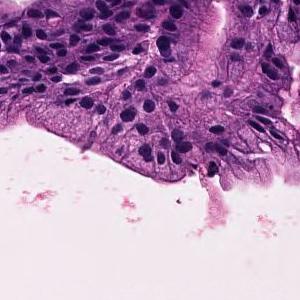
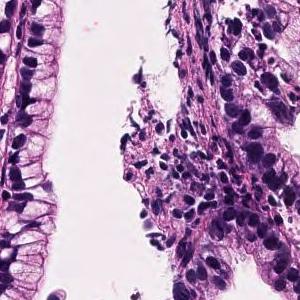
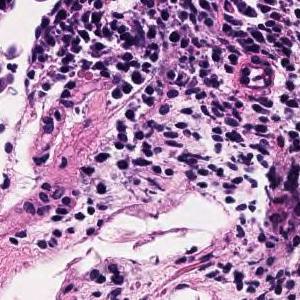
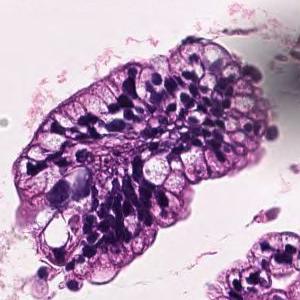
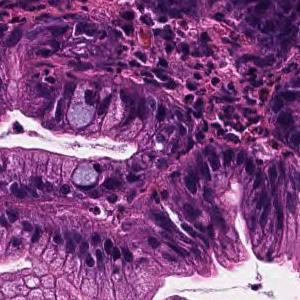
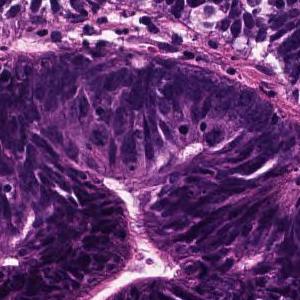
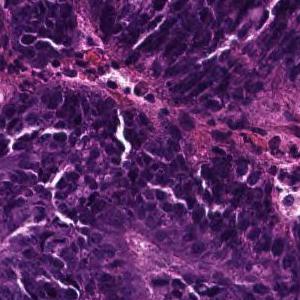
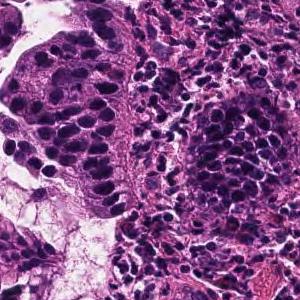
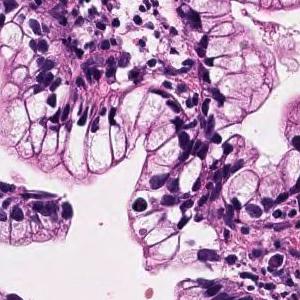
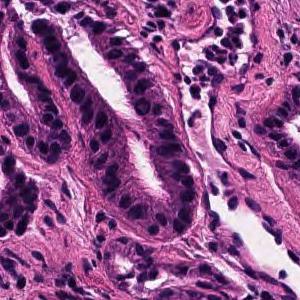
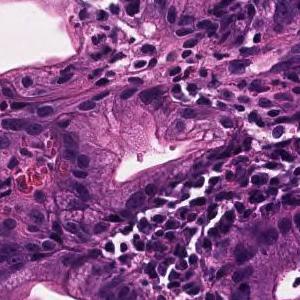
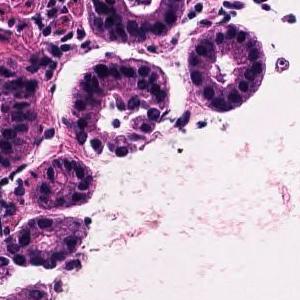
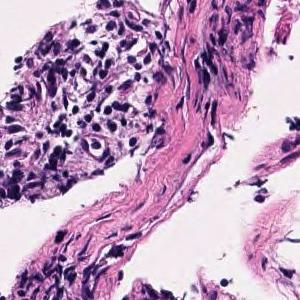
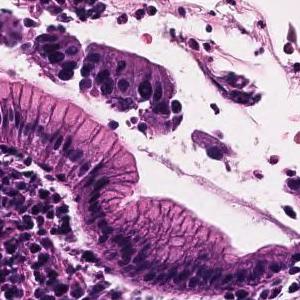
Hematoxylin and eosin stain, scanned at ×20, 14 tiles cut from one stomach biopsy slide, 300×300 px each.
Report on the slide these tiles come from. The report and the diagnosis describe the slide as a whole, so these tiles may not show every feature named and may include non-tumor tissue.
Tumor cells are large, highly columnar, large club-shaped nuclei, and are associated with chromatin aggregation. Papillary adenocarcinoma.
